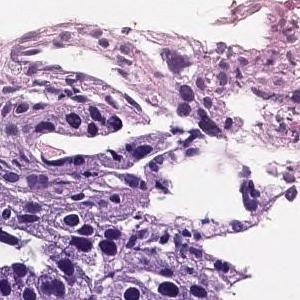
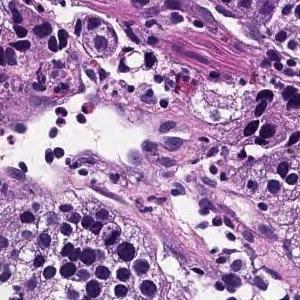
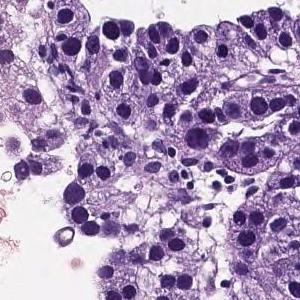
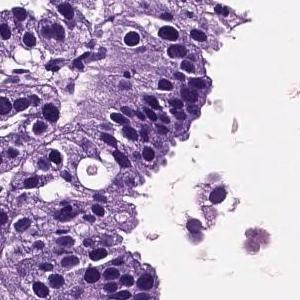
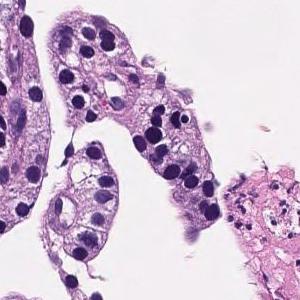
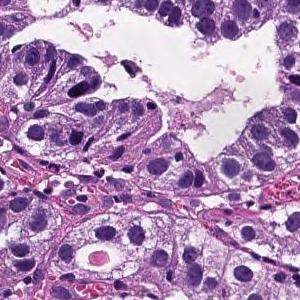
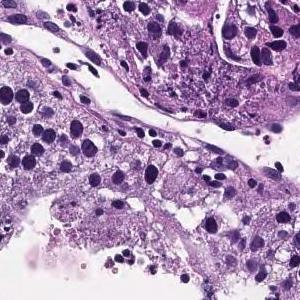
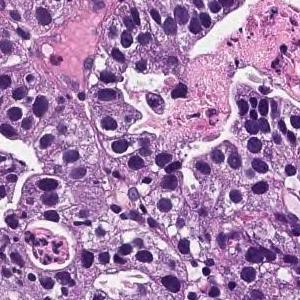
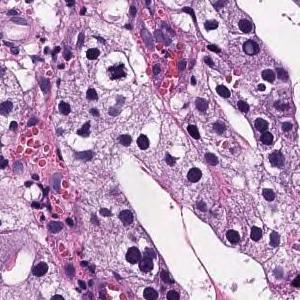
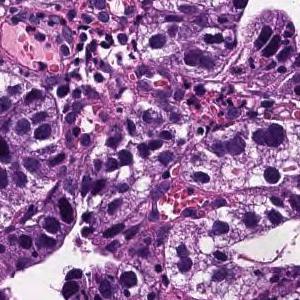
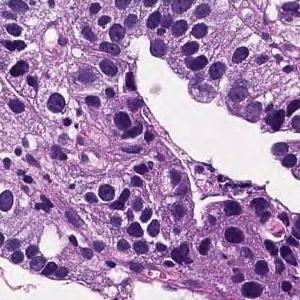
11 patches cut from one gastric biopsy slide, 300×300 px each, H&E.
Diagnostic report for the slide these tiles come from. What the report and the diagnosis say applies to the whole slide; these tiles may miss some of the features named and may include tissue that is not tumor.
On the superficial epithelium, tumor tissue that infiltrates by forming medium-sized papillary or small irregular ducts is observed. Papillary adenocarcinoma
